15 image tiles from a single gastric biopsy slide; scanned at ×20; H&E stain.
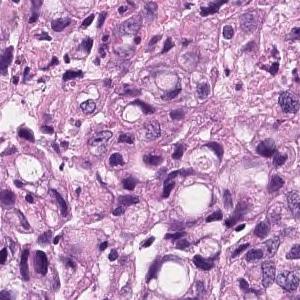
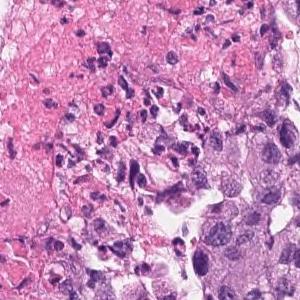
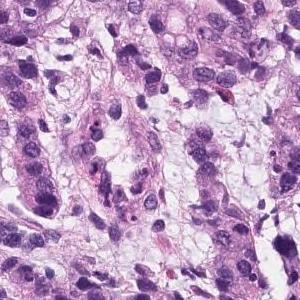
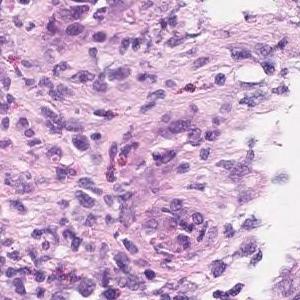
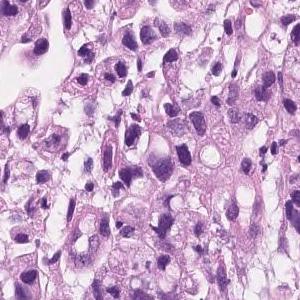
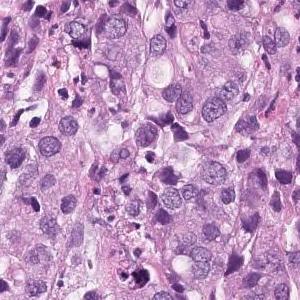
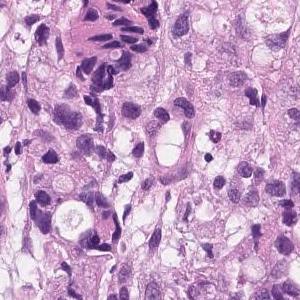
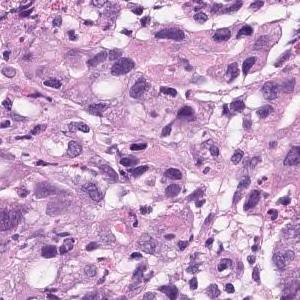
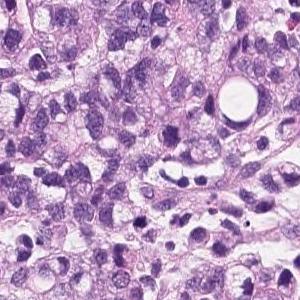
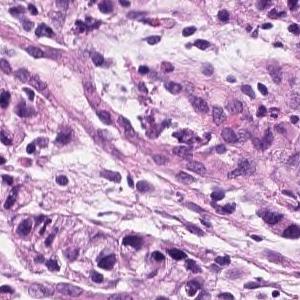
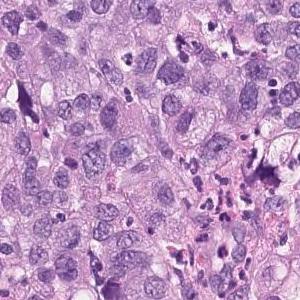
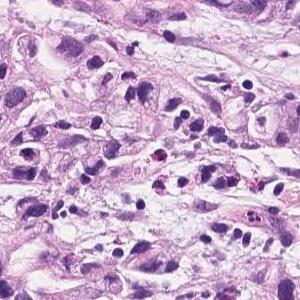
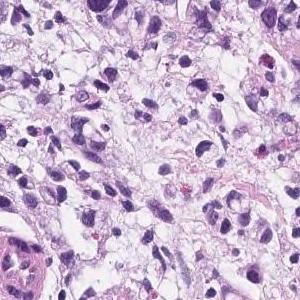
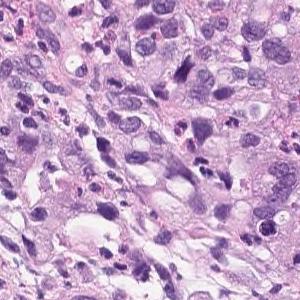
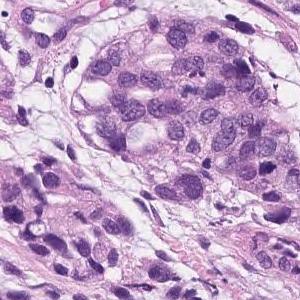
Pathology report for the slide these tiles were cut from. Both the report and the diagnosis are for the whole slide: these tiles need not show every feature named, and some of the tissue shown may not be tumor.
Group 5, Adenocarcinoma. Poorly differentiated adenocarcinoma, non-solid type
The non-solid type named here is a Japanese Classification of Gastric Carcinoma category.
